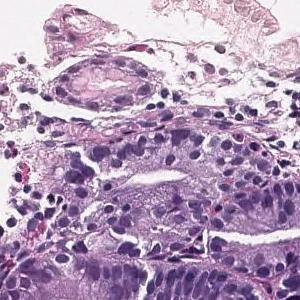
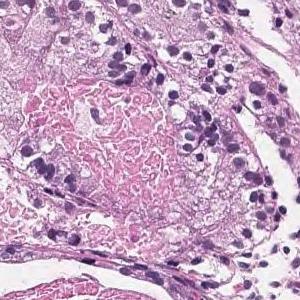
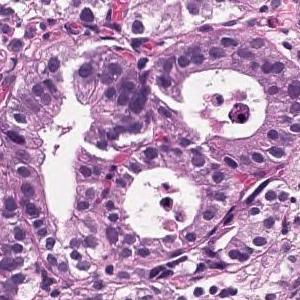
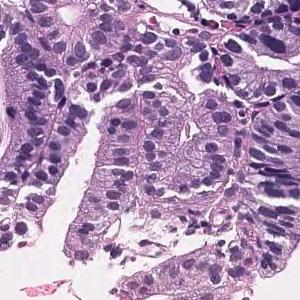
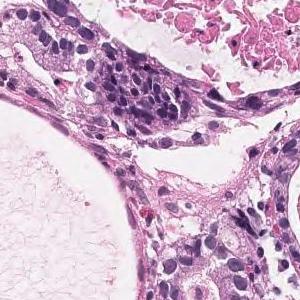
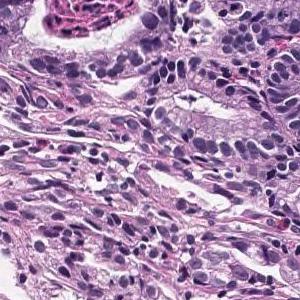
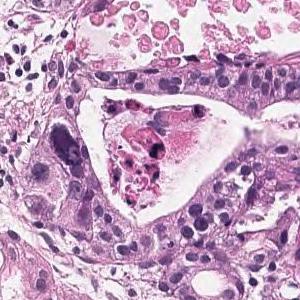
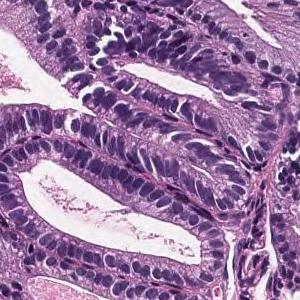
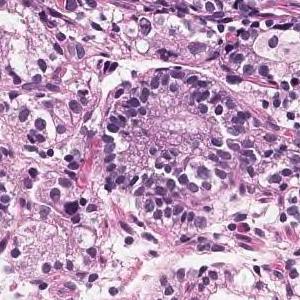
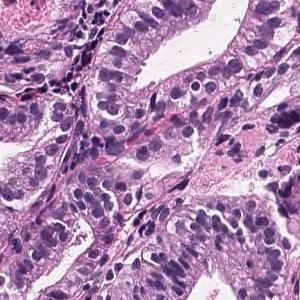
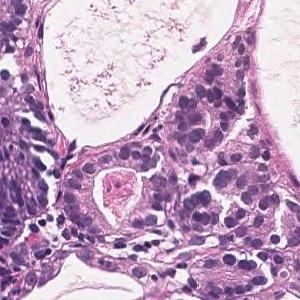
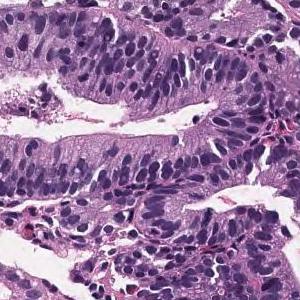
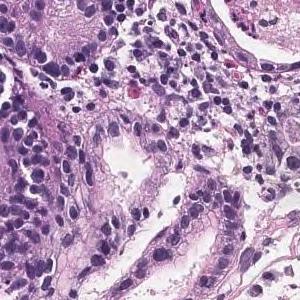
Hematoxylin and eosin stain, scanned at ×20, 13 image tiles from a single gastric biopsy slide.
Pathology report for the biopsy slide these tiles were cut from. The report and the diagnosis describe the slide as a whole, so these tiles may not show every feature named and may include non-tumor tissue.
Tumor tissue forming round ducts of different sizes is observed, and cells that have fallen into apoptosis are observed in some ducts. Well differentiated tubular adenocarcinoma
